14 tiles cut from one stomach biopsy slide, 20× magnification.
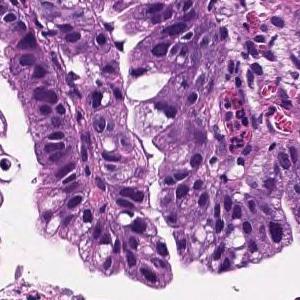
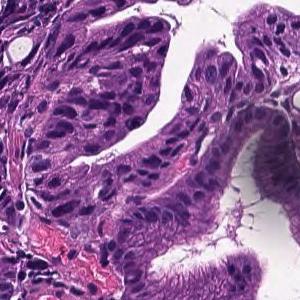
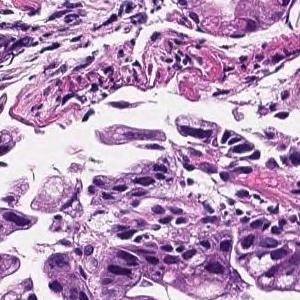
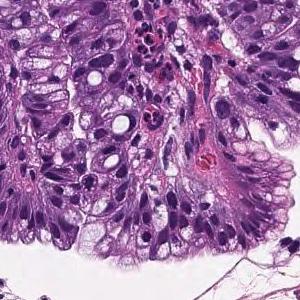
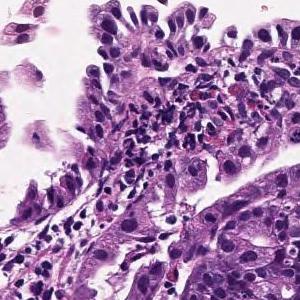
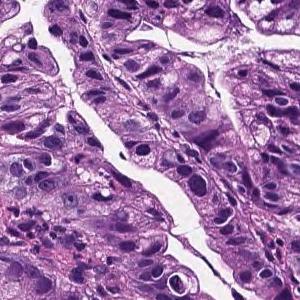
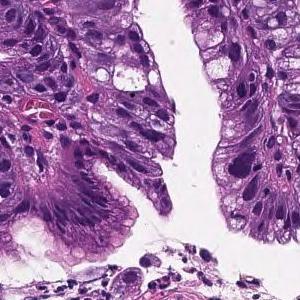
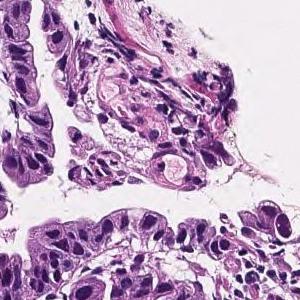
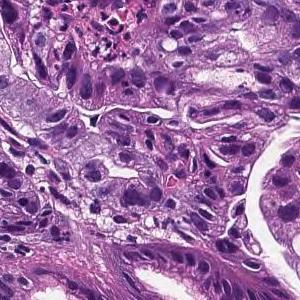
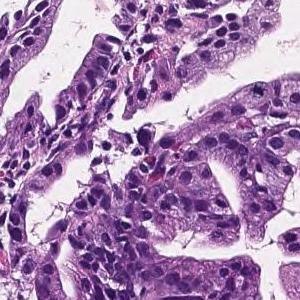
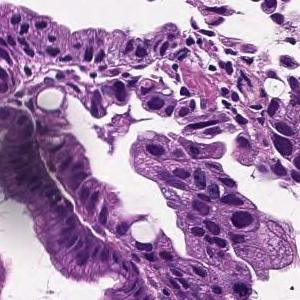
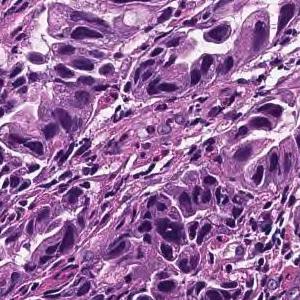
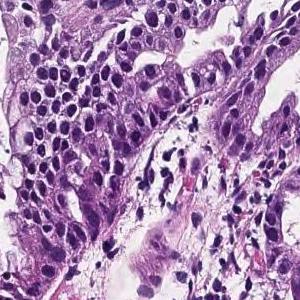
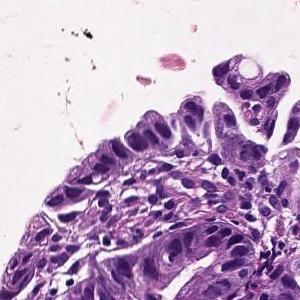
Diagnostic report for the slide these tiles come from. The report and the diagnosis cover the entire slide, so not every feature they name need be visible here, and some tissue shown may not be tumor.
Tumor cells are large, highly columnar, large club-shaped nuclei, and are associated with chromatin aggregation. Papillary adenocarcinoma.
